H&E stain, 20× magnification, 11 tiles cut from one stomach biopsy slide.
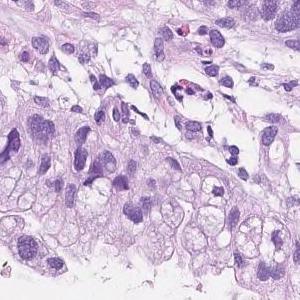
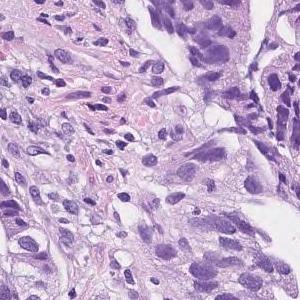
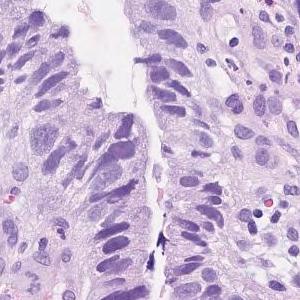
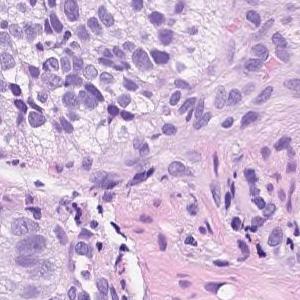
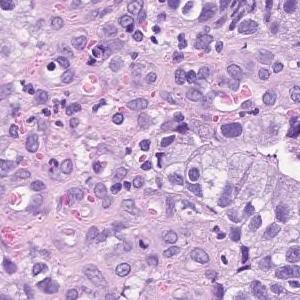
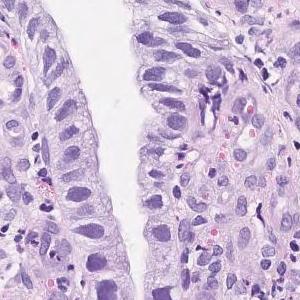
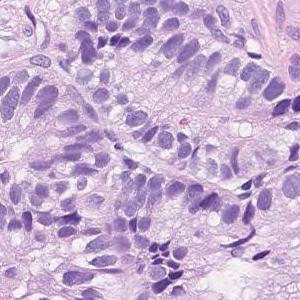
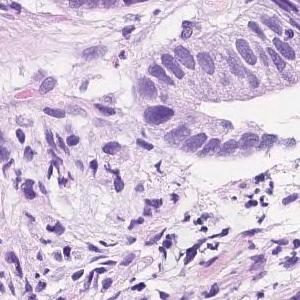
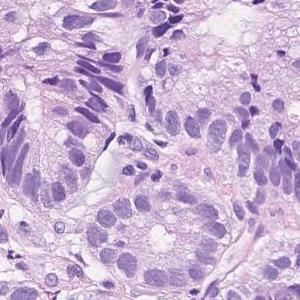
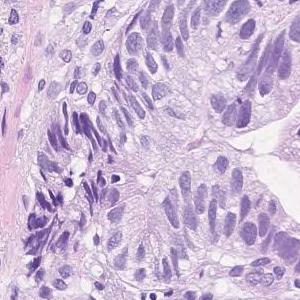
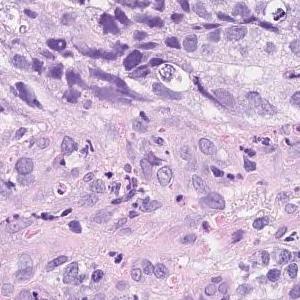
The pathologist's report on the biopsy slide these tiles were taken from. The report and the diagnosis cover the entire slide, so not every feature they name need be visible here, and some tissue shown may not be tumor.
Atypical l cells with atypical nuclei forming solid or diffuse vesicles or small irregular atypical ducts and growing in a complex manner. moderately differentiated tubular adenocarcinoma
